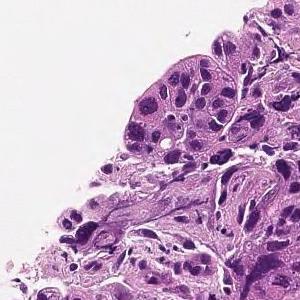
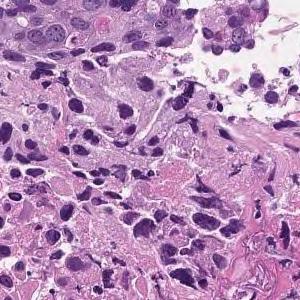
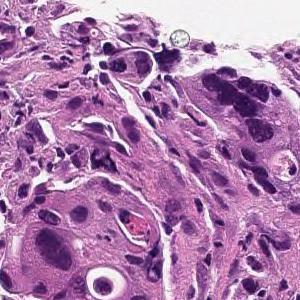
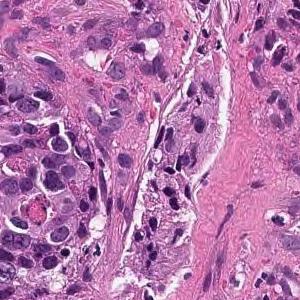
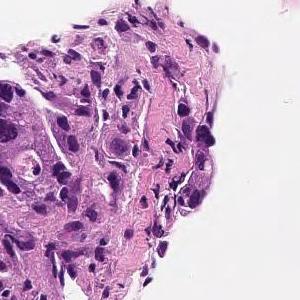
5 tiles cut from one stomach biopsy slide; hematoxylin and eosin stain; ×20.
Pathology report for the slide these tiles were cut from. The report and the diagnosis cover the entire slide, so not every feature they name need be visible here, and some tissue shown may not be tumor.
Tumor tissue consisting of cord-like or small, irregular glandular ducts fused and infiltrated is observed in the superficial epithelium. Poorly differentiated adenocarcinoma, non-solid type
The term "non-solid type" comes from the Japanese Classification of Gastric Carcinoma.
